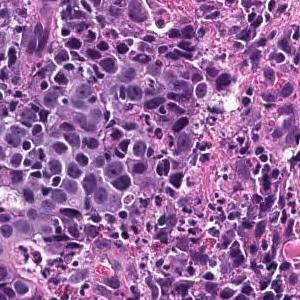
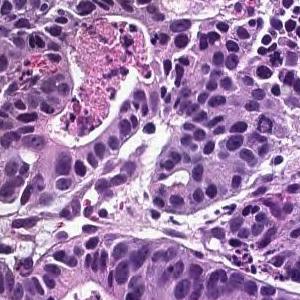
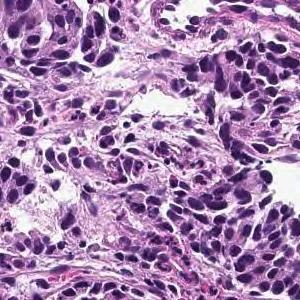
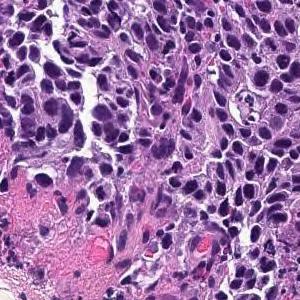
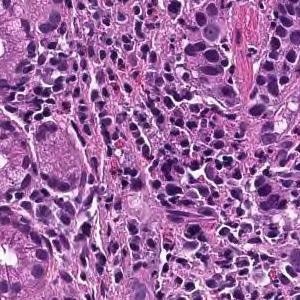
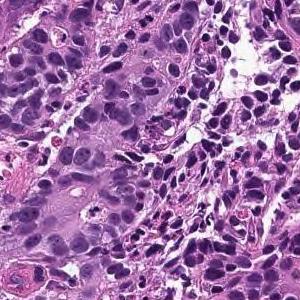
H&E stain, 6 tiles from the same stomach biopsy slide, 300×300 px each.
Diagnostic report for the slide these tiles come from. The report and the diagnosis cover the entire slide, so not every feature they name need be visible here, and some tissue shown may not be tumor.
In the superficial epithelium, tumor tissue that invades by forming medium-sized to small, irregular ducts is observed. moderately differentiated tubular adenocarcinoma.
